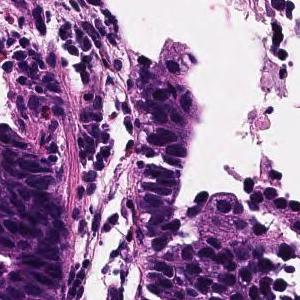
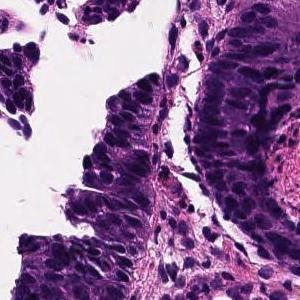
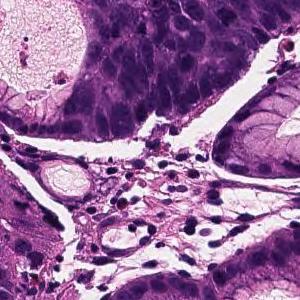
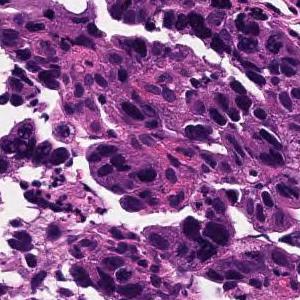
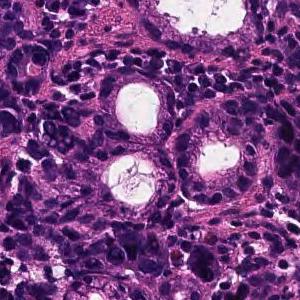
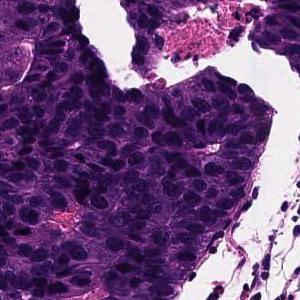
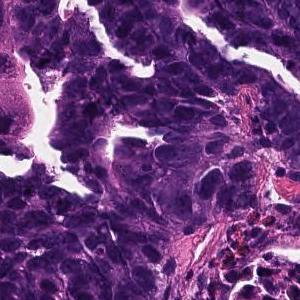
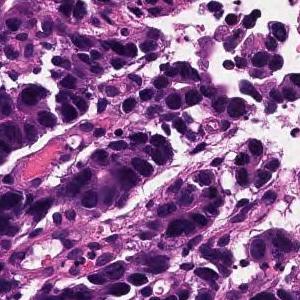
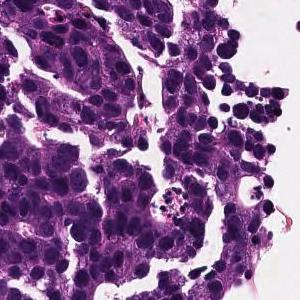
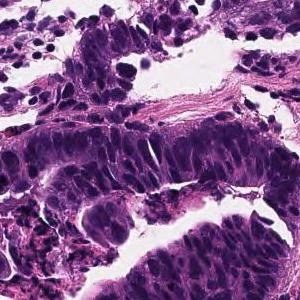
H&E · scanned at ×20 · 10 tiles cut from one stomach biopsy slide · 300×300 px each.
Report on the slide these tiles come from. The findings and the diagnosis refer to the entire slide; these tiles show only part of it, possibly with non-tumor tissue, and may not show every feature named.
In the superficial epithelium, tumor tissue that invades by forming medium-sized to small, irregular ducts is observed. moderately differentiated tubular adenocarcinoma.
